H&E, 16 image tiles from a single gastric biopsy slide, each 300 × 300 pixels.
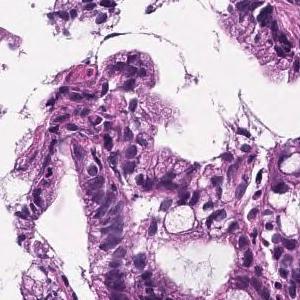
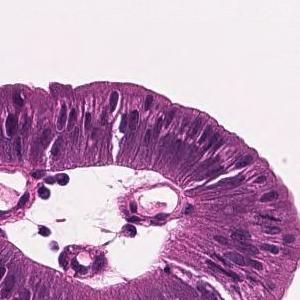
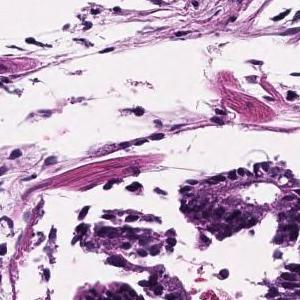
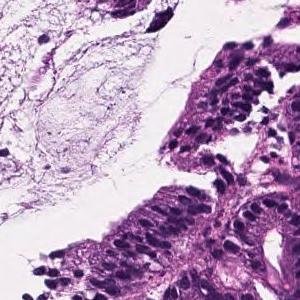
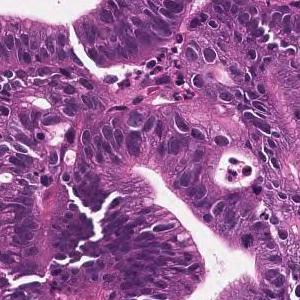
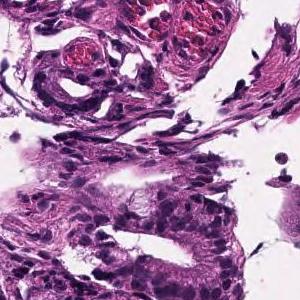
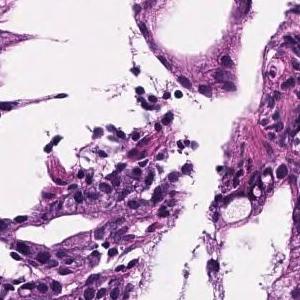
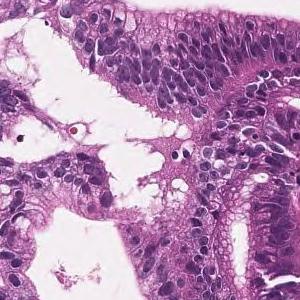
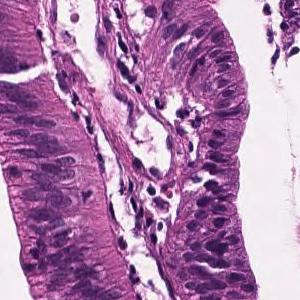
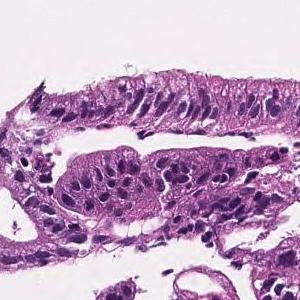
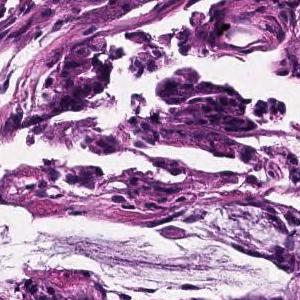
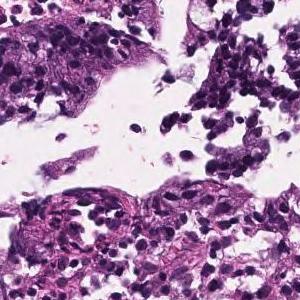
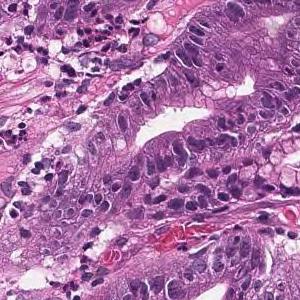
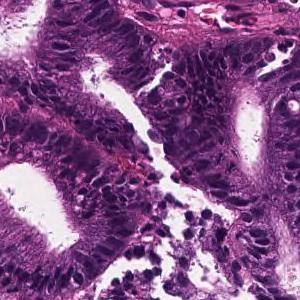
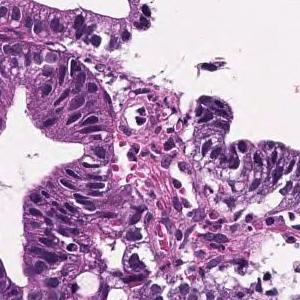
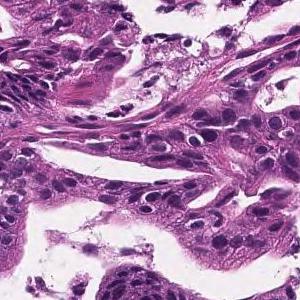
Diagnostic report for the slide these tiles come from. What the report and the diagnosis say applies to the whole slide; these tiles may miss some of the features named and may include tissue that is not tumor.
In the superficial epithelium, tumor tissue that invades by forming medium-sized to small, irregular ducts is observed. Well differentiated tubular adenocarcinoma.
